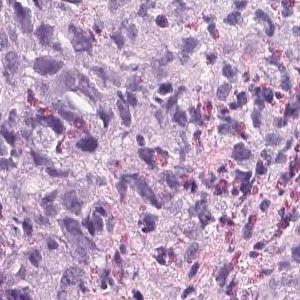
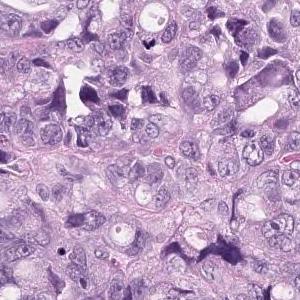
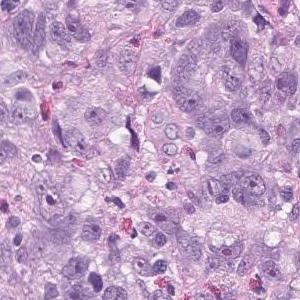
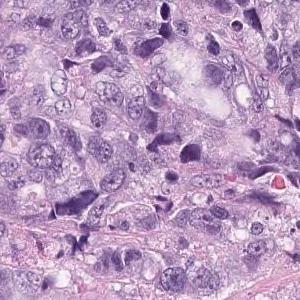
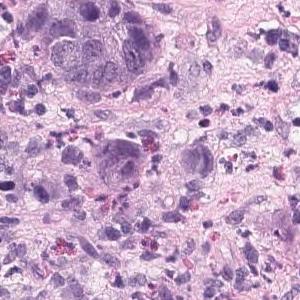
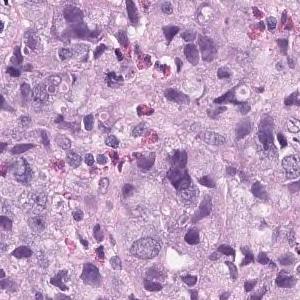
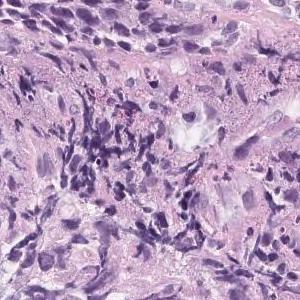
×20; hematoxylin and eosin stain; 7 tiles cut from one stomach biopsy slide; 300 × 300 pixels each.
The pathologist's report on the biopsy slide these tiles were taken from. The findings and the diagnosis refer to the entire slide; these tiles show only part of it, possibly with non-tumor tissue, and may not show every feature named.
Tumor tissue that infiltrates and proliferates by forming small glandular cavities in the superficial layer to the submucosa or forming a mass is observed. moderately differentiated tubular adenocarcinoma
